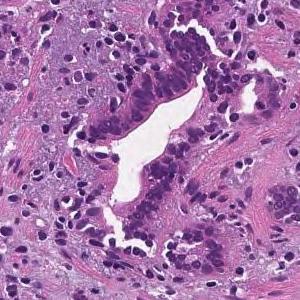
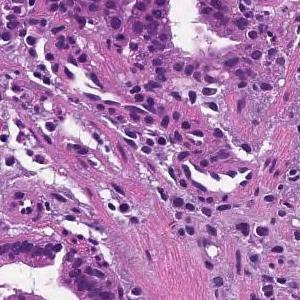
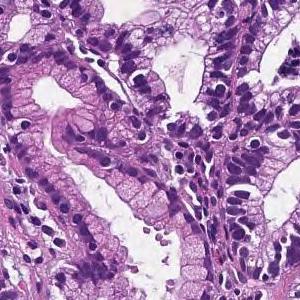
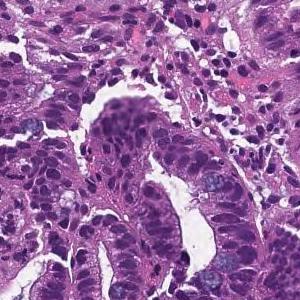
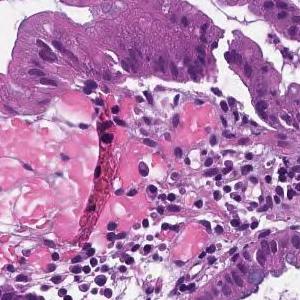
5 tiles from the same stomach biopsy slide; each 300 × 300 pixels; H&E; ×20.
The pathologist's report on the biopsy slide these tiles were taken from. Both the report and the diagnosis are for the whole slide: these tiles need not show every feature named, and some of the tissue shown may not be tumor.
From the superficial epithelium to the muscularis mucosae, tumor tissue consisting of medium-sized and irregular glandular ducts infiltrating is observed. Well differentiated tubular adenocarcinoma
